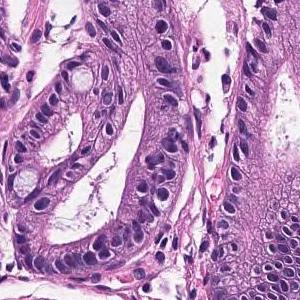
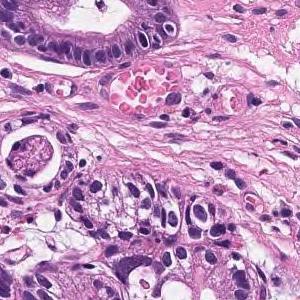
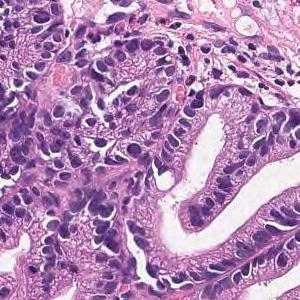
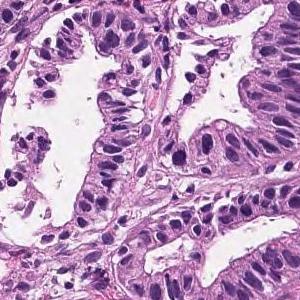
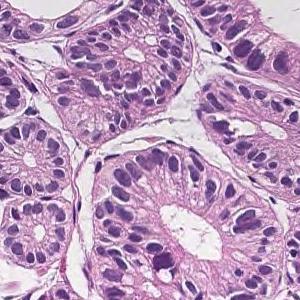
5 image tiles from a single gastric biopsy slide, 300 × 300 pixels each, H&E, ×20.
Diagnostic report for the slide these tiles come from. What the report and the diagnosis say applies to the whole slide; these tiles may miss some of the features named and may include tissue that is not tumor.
In the superficial epithelium, tumor tissue that invades by forming medium-sized to small, irregular ducts is observed. Well differentiated tubular adenocarcinoma.
